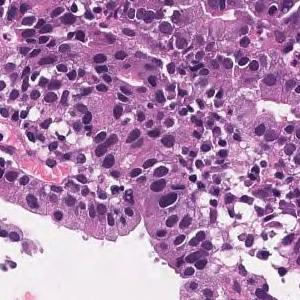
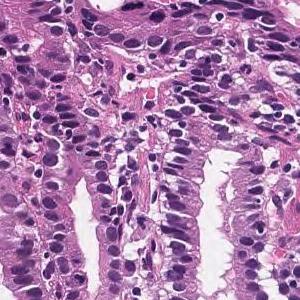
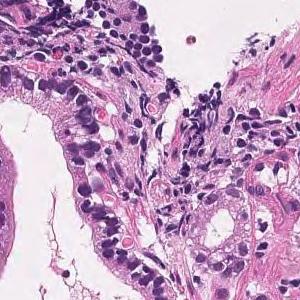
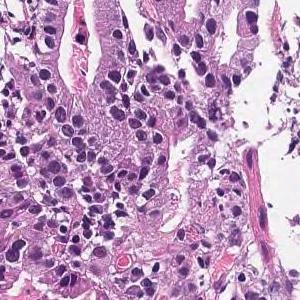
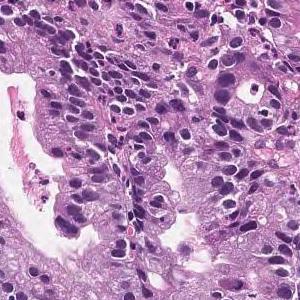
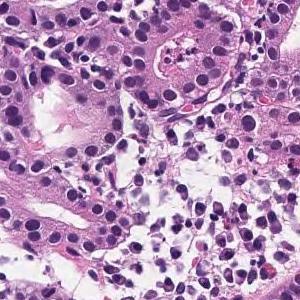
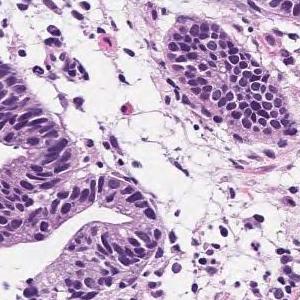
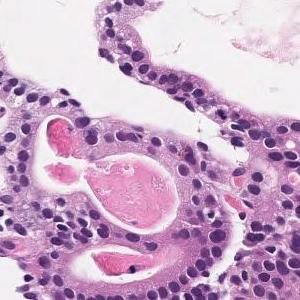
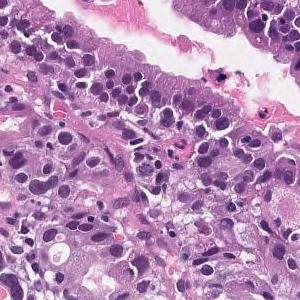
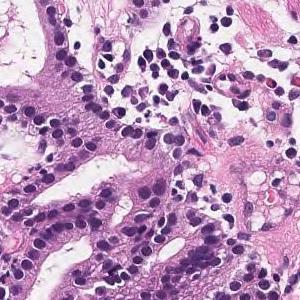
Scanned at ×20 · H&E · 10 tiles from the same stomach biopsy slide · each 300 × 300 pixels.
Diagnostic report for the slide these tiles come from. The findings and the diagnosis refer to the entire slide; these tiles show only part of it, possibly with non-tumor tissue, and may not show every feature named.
Medium to small, irregular glandular ducts are formed in the superficial epithelium, and in some cases, the glandular ducts are fused to show solid alveolar lesions and infiltrating tumor tissue is observed. Moderately to poorly differentiated adenocarcinoma.
